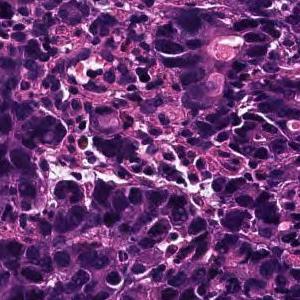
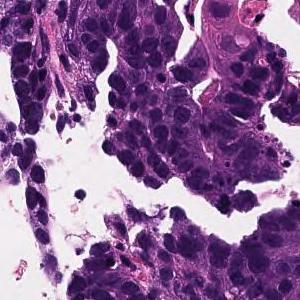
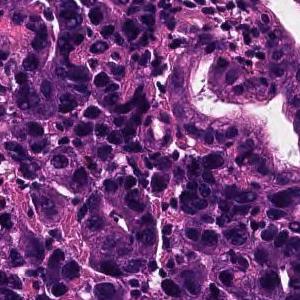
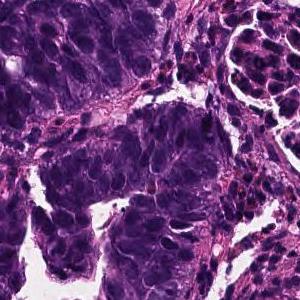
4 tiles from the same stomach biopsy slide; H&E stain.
The pathologist's report on the biopsy slide these tiles were taken from. The report and the diagnosis describe the slide as a whole, so these tiles may not show every feature named and may include non-tumor tissue.
In the superficial epithelium, tumor tissue that invades by forming medium-sized to small, irregular ducts is observed. moderately differentiated tubular adenocarcinoma.
